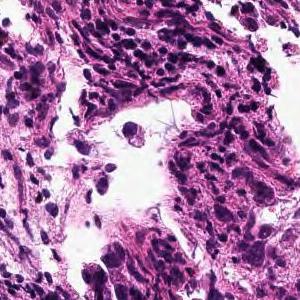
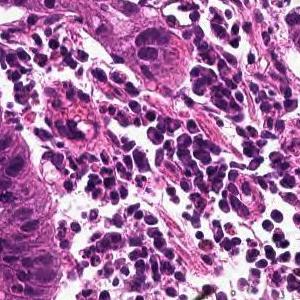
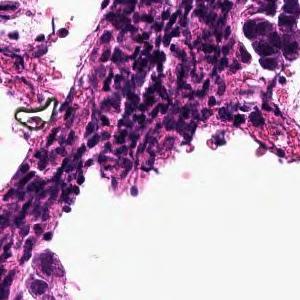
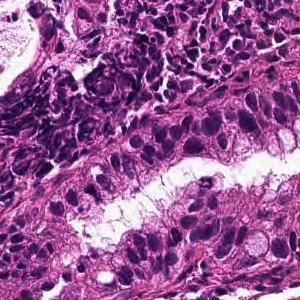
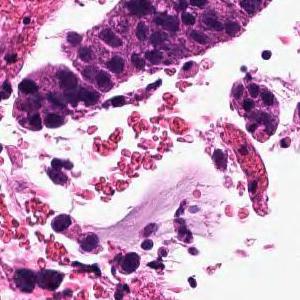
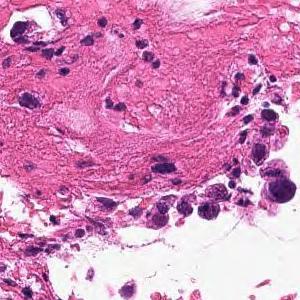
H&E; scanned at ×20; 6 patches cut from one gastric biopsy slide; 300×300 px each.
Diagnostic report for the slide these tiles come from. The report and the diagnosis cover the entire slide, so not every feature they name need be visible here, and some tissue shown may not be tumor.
From the superficial epithelium to the muscularis mucosae, tumor tissue infiltrating by forming medium-sized irregular gland ducts is observed. Well differentiated tubular adenocarcinoma
